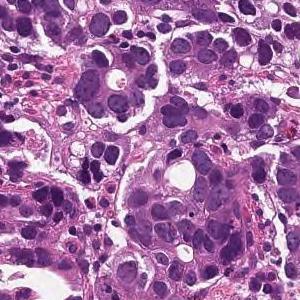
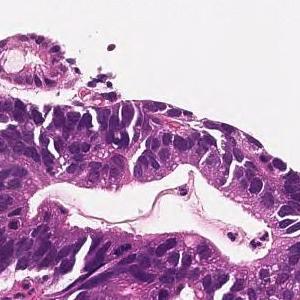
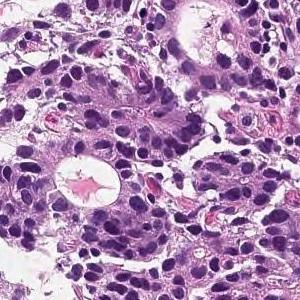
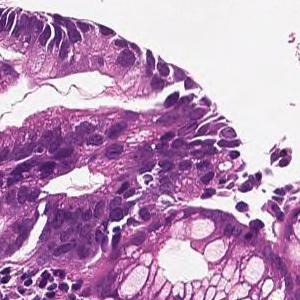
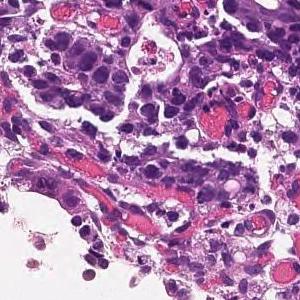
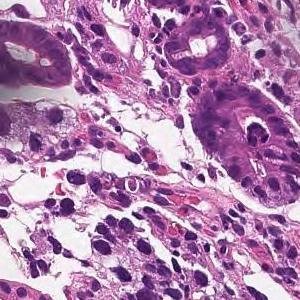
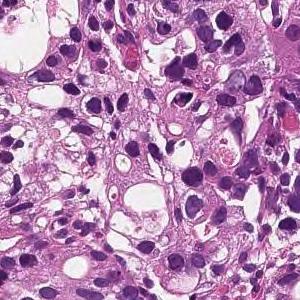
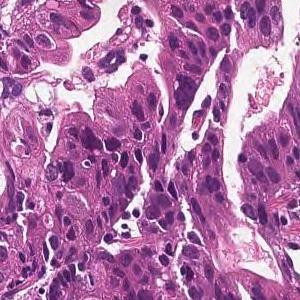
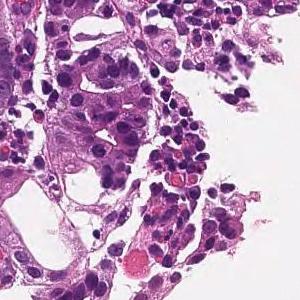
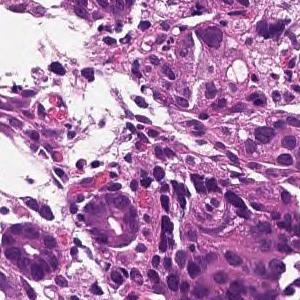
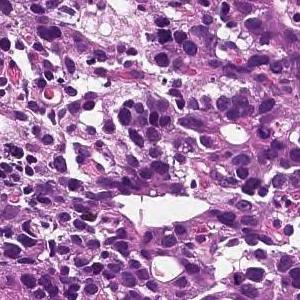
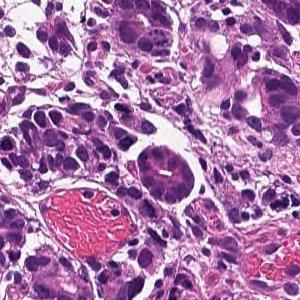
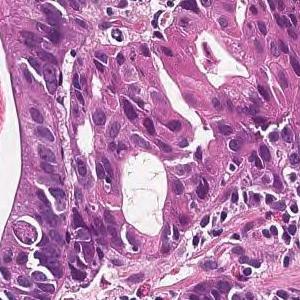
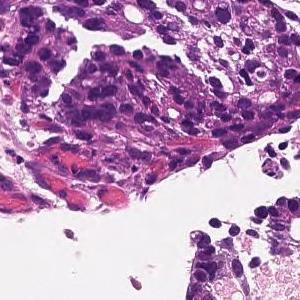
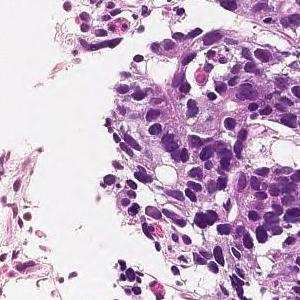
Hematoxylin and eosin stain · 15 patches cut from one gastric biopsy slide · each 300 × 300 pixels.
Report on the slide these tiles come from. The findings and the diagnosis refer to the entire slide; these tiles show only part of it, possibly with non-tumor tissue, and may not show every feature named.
On the superficial epithelium, tumor tissue is found in which medium-sized irregular gland ducts fuse with each other and infiltrate. moderately differentiated tubular adenocarcinoma
